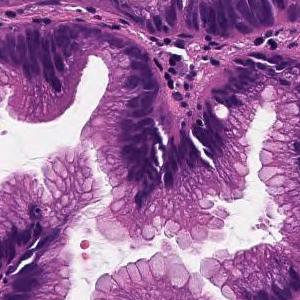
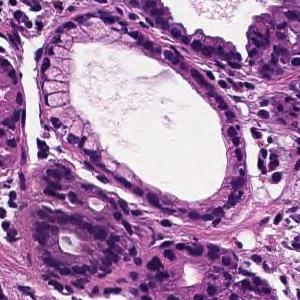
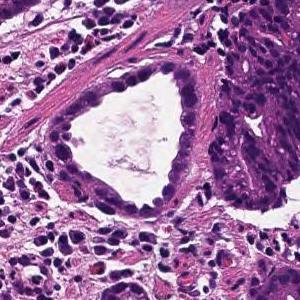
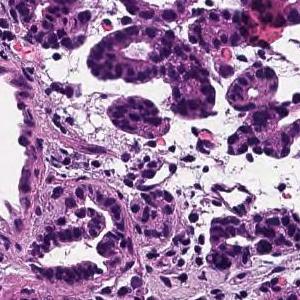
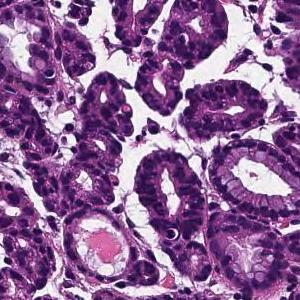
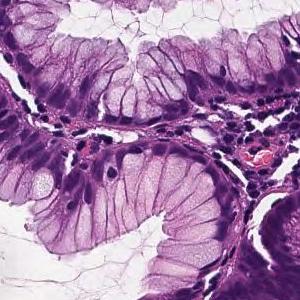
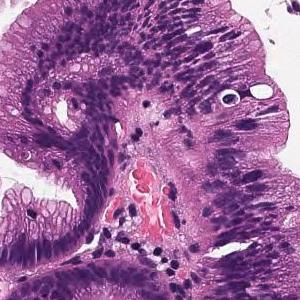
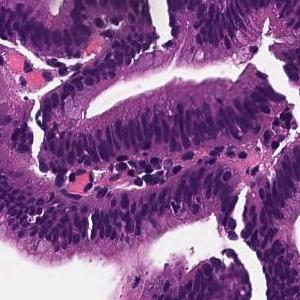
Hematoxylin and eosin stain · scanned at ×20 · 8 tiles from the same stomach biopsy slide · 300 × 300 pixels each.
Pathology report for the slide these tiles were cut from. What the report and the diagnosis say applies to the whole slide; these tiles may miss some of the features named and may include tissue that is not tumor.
Cells with elliptical or atypical nuclei form dense ducts with relatively clear growth. Well differentiated tubular adenocarcinoma
